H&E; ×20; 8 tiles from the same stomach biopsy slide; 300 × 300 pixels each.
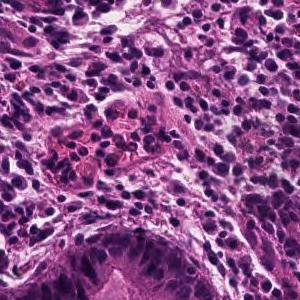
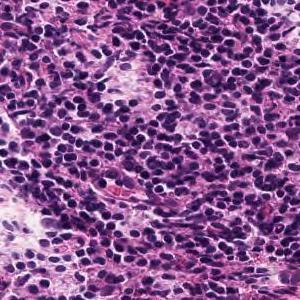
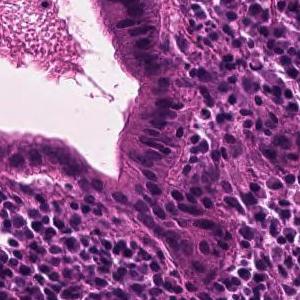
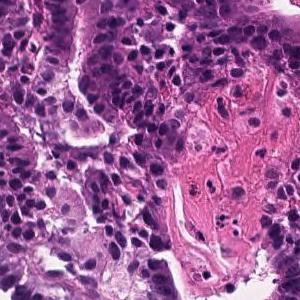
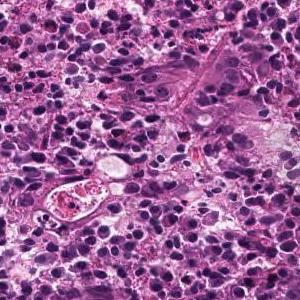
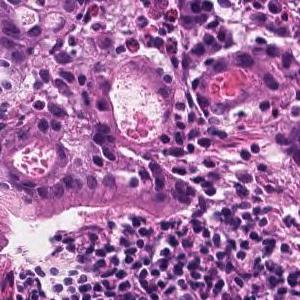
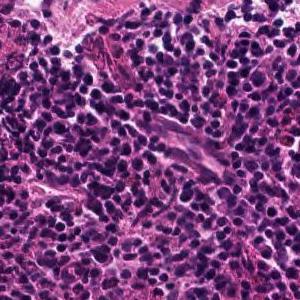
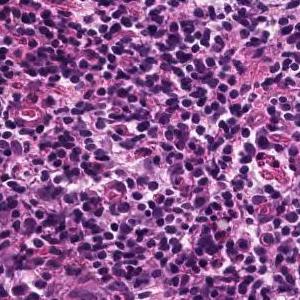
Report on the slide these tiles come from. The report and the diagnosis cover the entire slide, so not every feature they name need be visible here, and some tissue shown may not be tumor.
Tumor tissue consisting of medium-sized, cord-like or irregular glandular infiltration is observed in the superficial epithelium. Poorly differentiated adenocarcinoma, non-solid type or moderately differentiated tubular adenocarcinoma
Labeled in the dataset as poorly differentiated adenocarcinoma, non-solid type.
The term "non-solid type" comes from the Japanese Classification of Gastric Carcinoma.
